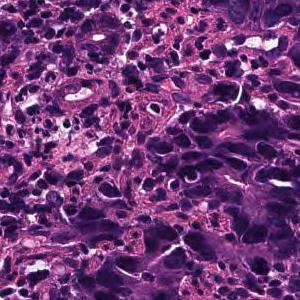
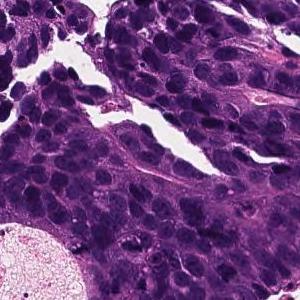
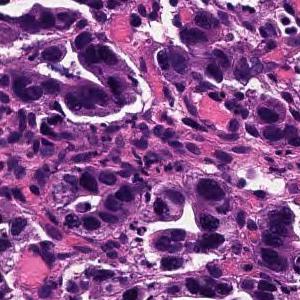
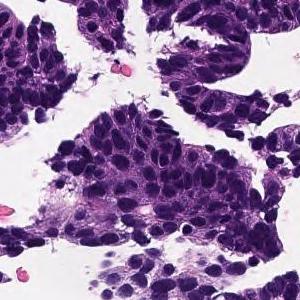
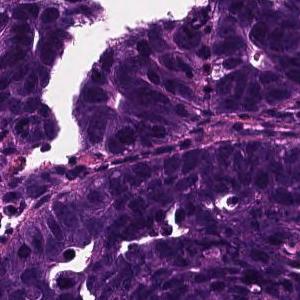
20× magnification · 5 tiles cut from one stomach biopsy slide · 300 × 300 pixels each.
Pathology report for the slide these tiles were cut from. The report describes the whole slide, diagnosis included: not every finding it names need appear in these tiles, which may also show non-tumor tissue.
In the superficial epithelium, tumor tissue that invades by forming medium-sized to small, irregular ducts is observed. moderately differentiated tubular adenocarcinoma.
